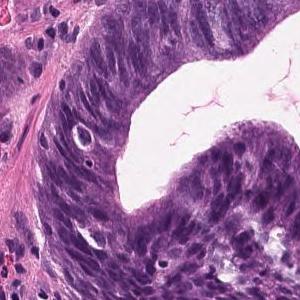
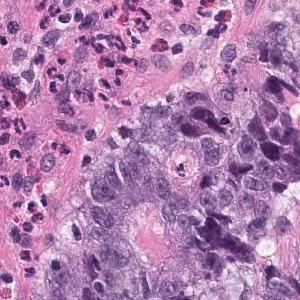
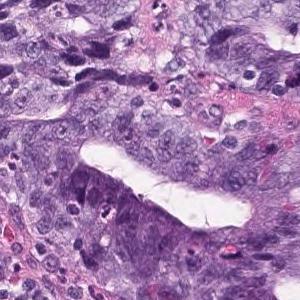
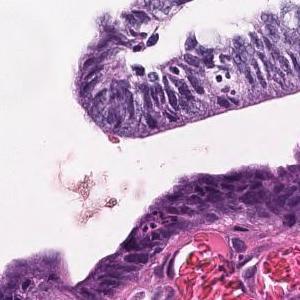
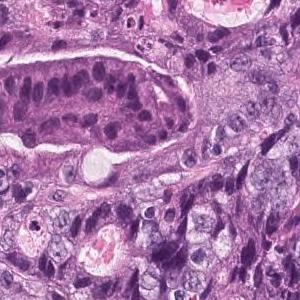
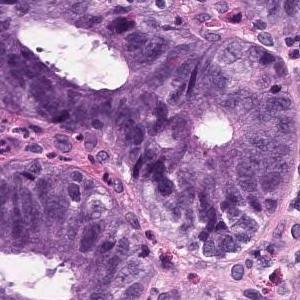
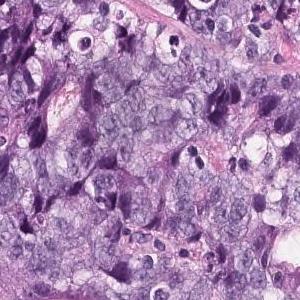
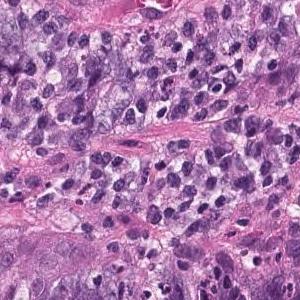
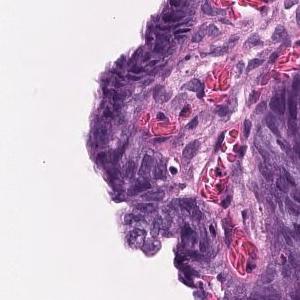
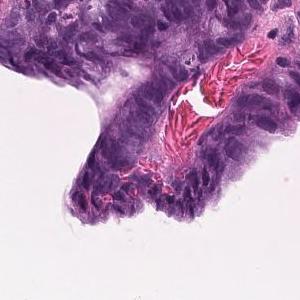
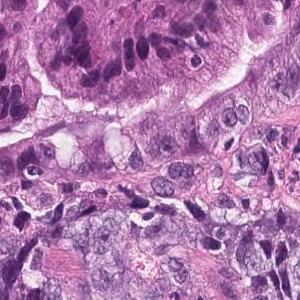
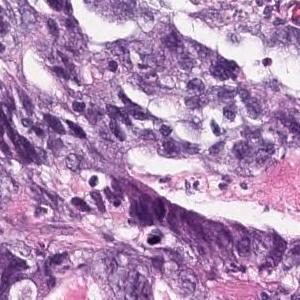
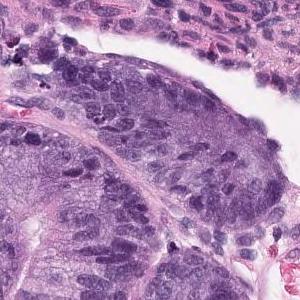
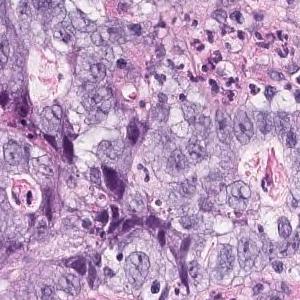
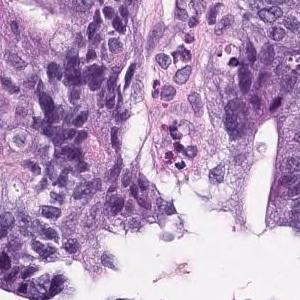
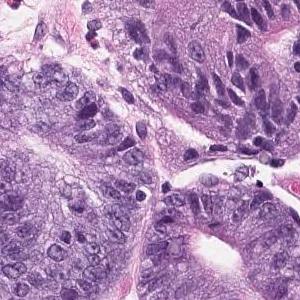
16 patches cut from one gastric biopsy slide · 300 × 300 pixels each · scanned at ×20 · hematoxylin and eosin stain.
The pathologist's report on the biopsy slide these tiles were taken from. The report and the diagnosis describe the slide as a whole, so these tiles may not show every feature named and may include non-tumor tissue.
Large atypical epithelial cells with swollen atypical nuclei are seen proliferating into a tubular fusion gland. moderately differentiated tubular adenocarcinoma
